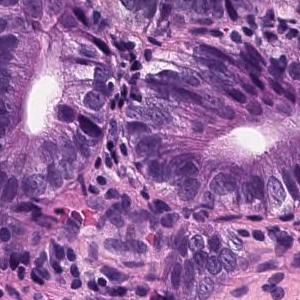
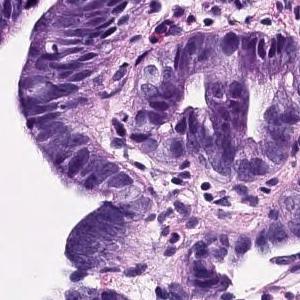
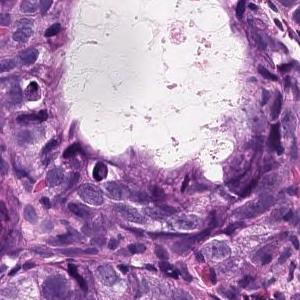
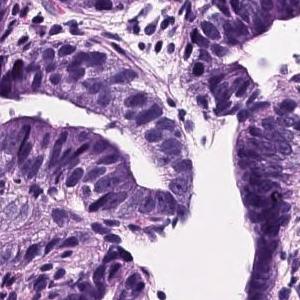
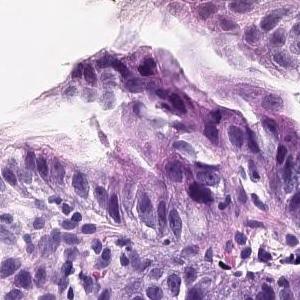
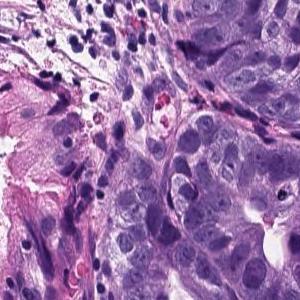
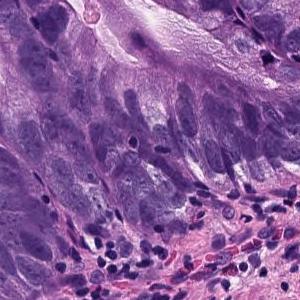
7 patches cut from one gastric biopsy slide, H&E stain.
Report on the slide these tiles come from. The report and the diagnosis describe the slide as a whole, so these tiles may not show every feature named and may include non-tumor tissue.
Atypical epithelial cells infiltrating and proliferating while forming a glandular cavity is observed. moderately differentiated tubular adenocarcinoma
